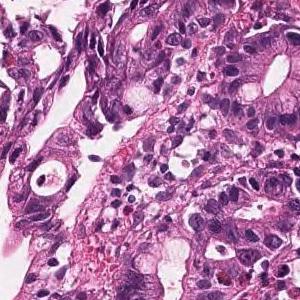
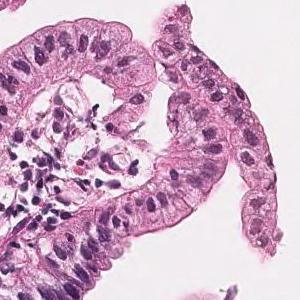
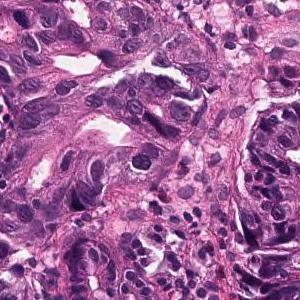
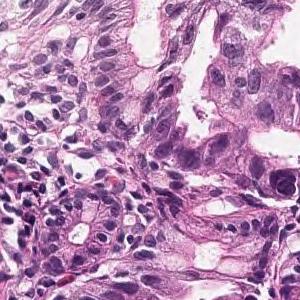
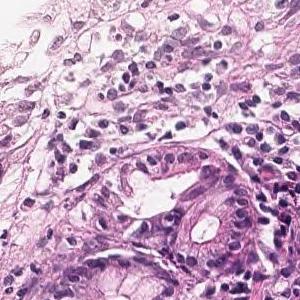
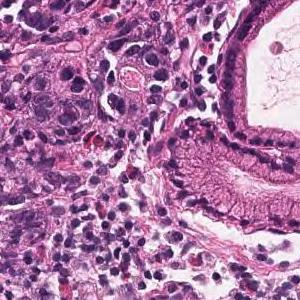
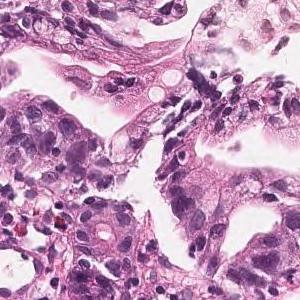
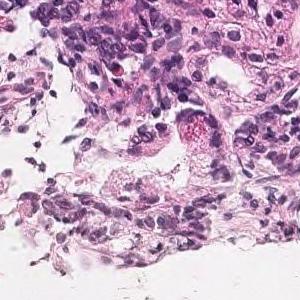
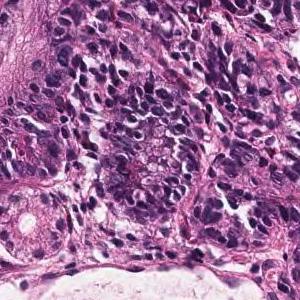
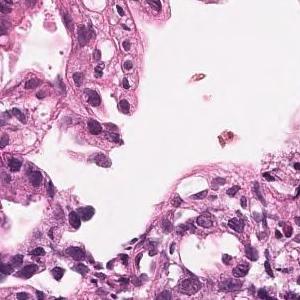
10 tiles cut from one stomach biopsy slide, H&E stain.
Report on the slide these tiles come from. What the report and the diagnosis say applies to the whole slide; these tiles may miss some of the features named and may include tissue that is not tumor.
On the superficial epithelium, tumor tissue consisting of large, irregular glandular ducts partially fused and infiltrated is observed. Well to moderately differentiated tubular adenocarcinoma (well differentiated tubular adenocarcinoma, moderately differentiated tubular adenocarcinoma)
Subtype: Well to moderately differentiated tubular adenocarcinoma.
